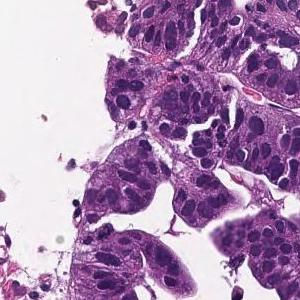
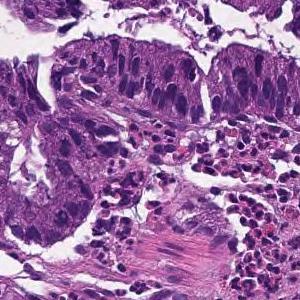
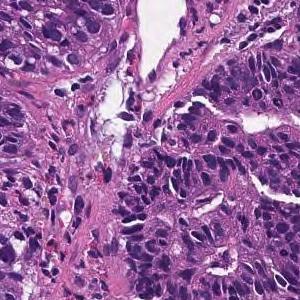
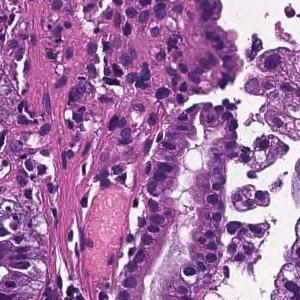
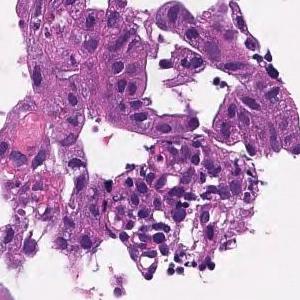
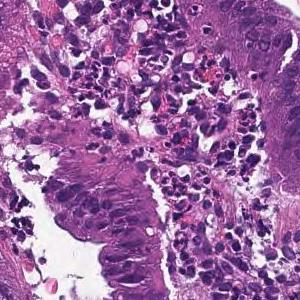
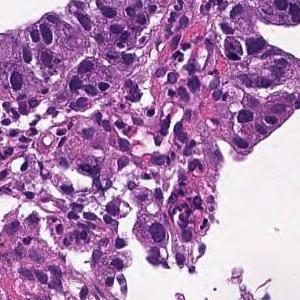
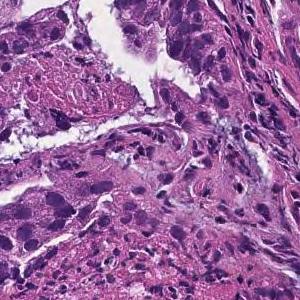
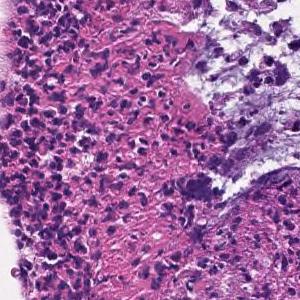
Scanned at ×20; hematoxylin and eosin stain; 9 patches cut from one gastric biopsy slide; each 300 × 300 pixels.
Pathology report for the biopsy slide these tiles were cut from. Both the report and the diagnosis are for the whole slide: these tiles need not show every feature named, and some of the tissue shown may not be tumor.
From the superficial epithelium to the muscularis mucosae, tumor tissue consisting of medium-sized and irregular glandular ducts infiltrating is observed. Well differentiated tubular adenocarcinoma
